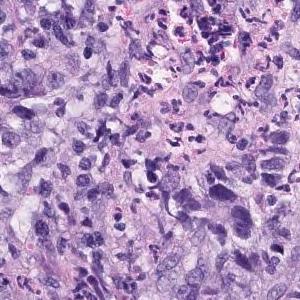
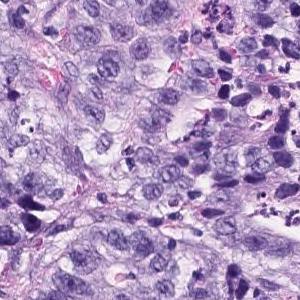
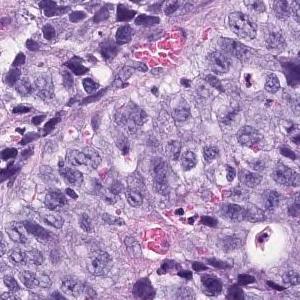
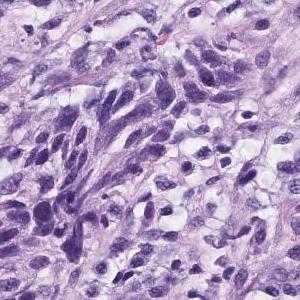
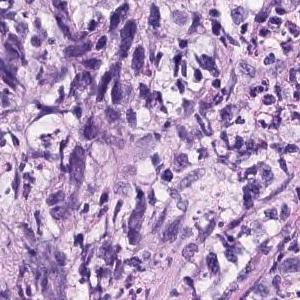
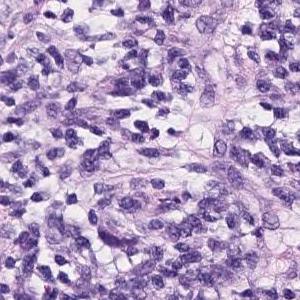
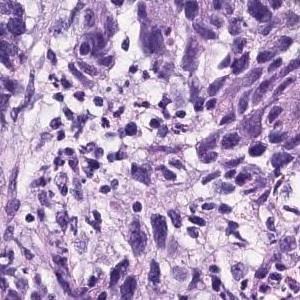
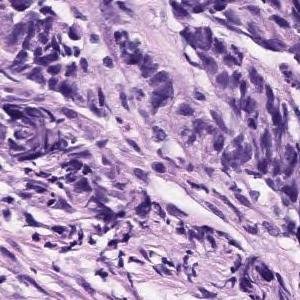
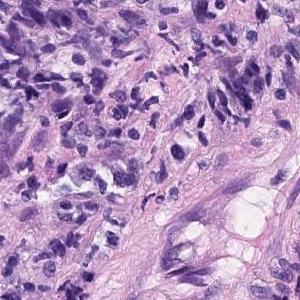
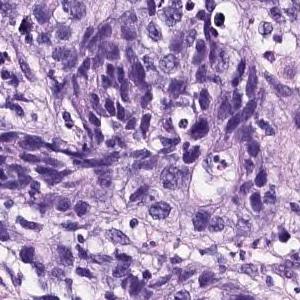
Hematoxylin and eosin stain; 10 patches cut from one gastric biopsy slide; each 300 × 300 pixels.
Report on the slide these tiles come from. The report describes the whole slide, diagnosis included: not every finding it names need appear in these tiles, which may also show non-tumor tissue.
The superficial epithelium shows a large sheet-like shape, and some tumor tissue infiltrates with small irregular ducts. Poorly differentiated adenocarcinoma, solid-type
Histological subtype: Poorly differentiated adenocarcinoma, solid type. This name comes from the Japanese Classification of Gastric Carcinoma; the WHO 2019 classification calls it tubular adenocarcinoma, poorly differentiated.
